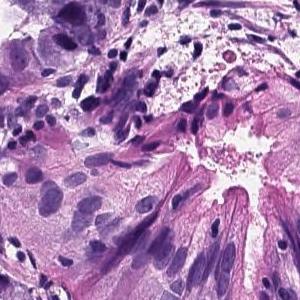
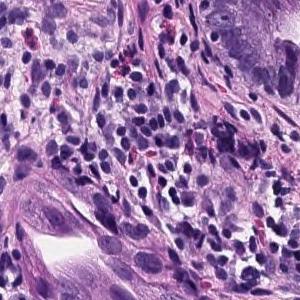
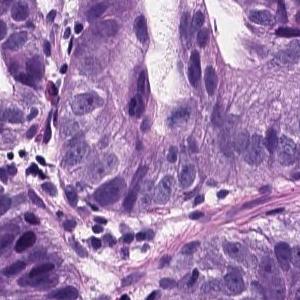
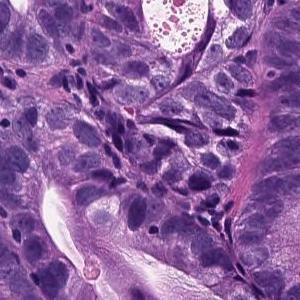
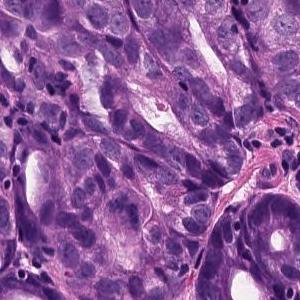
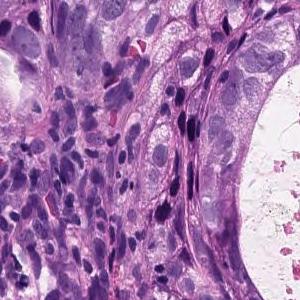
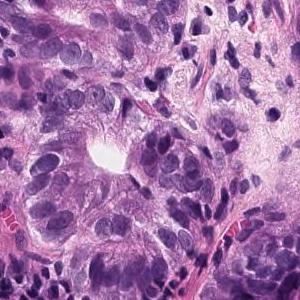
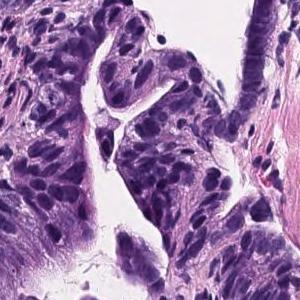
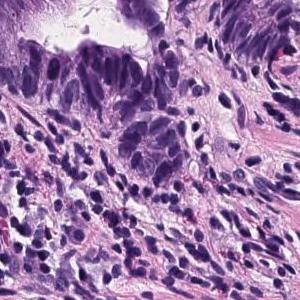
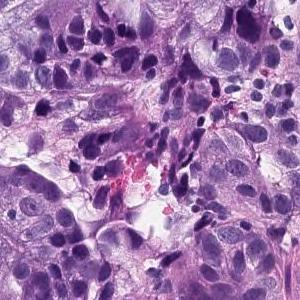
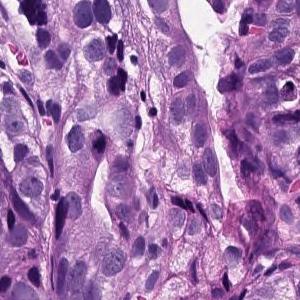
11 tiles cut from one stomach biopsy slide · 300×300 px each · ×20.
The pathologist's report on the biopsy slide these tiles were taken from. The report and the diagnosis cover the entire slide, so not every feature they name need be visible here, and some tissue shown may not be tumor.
Atypical epithelial cells infiltrating and proliferating while forming a glandular cavity is observed. moderately differentiated tubular adenocarcinoma
